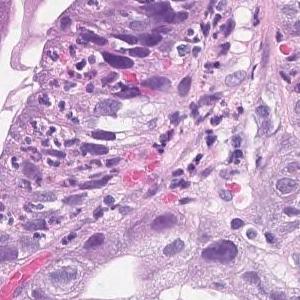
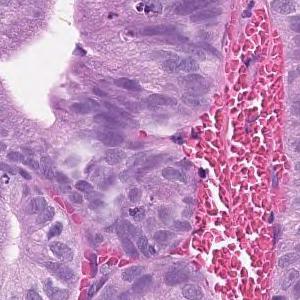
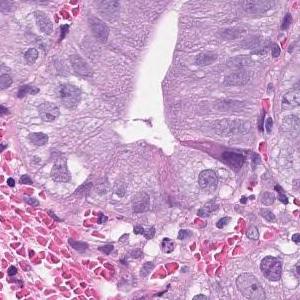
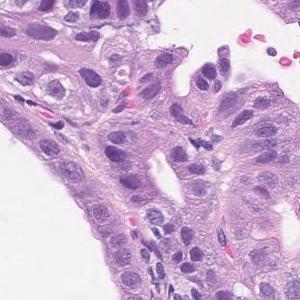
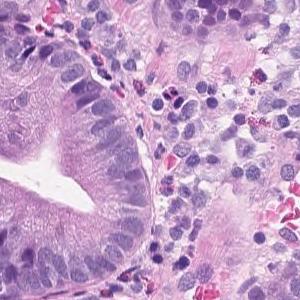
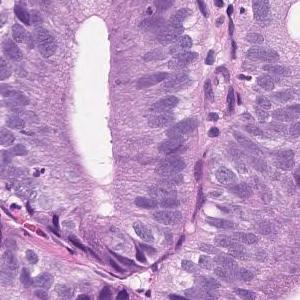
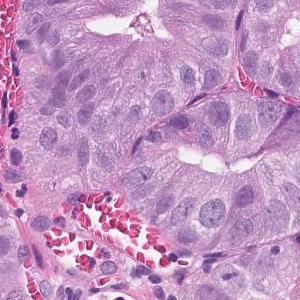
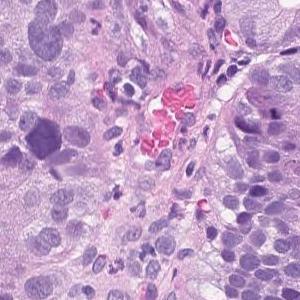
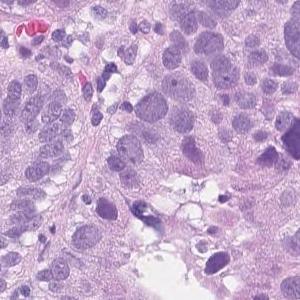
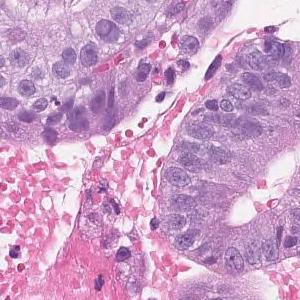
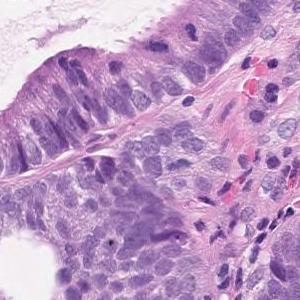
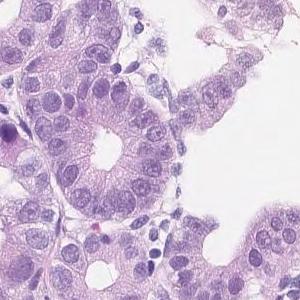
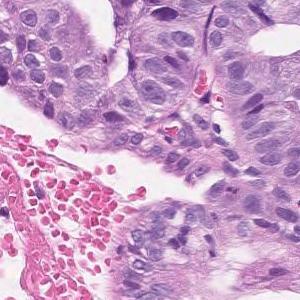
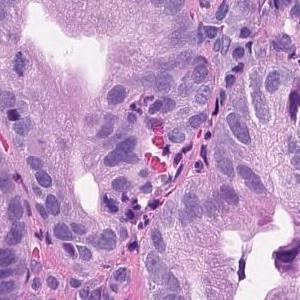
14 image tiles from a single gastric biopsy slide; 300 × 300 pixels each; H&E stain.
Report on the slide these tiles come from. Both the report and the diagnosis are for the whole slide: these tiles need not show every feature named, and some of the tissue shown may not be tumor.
Tumor tissue consisting of medium-sized and irregular ducts is observed infiltrating in the superficial epithelium. Tumor cells are highly columnar, with nuclei aligned basolaterally and polarized. Well differentiated tubular adenocarcinoma.
